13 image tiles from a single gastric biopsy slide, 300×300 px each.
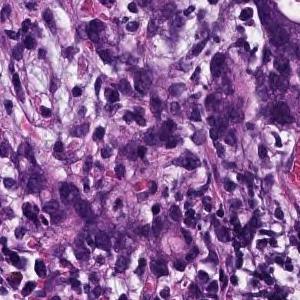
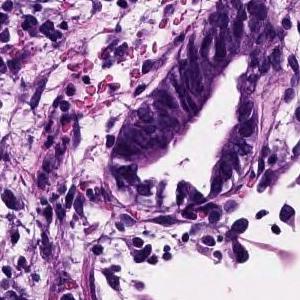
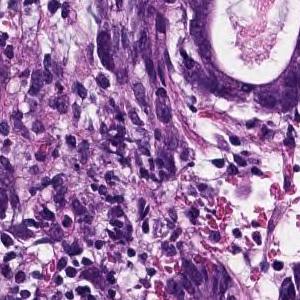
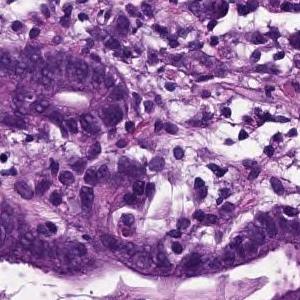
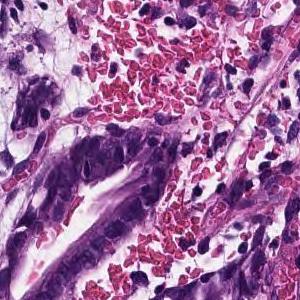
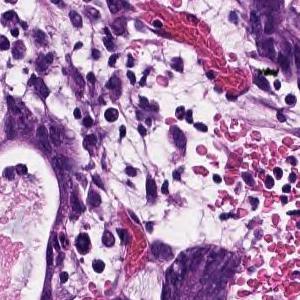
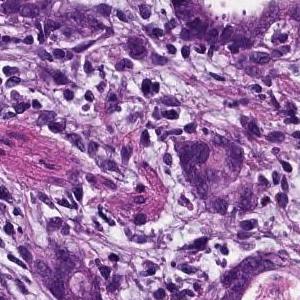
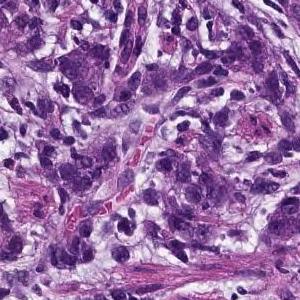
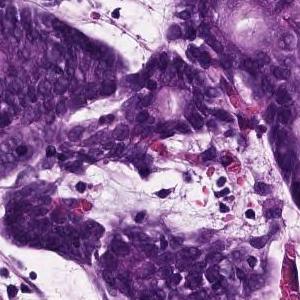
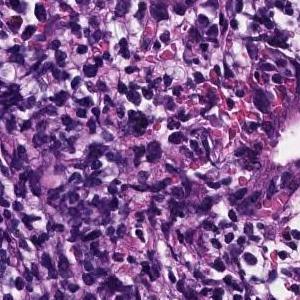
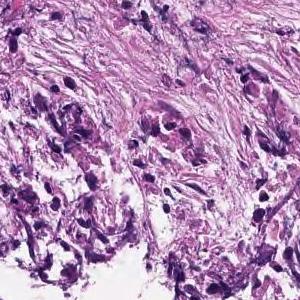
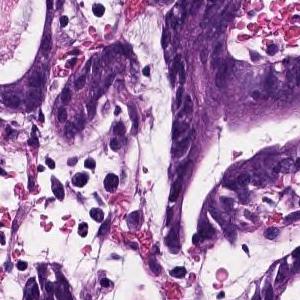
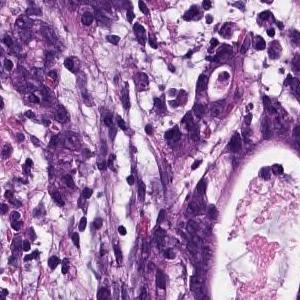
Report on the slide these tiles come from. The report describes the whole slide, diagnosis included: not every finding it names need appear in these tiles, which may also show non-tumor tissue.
Tumor tissue consisting of medium-sized, cord-like or irregular glandular infiltration is observed in the superficial epithelium. Poorly differentiated adenocarcinoma, non-solid type or moderately differentiated tubular adenocarcinoma
Classified as moderately to poorly differentiated adenocarcinoma.
The non-solid type named here is a Japanese Classification of Gastric Carcinoma category.
